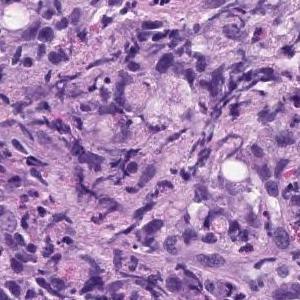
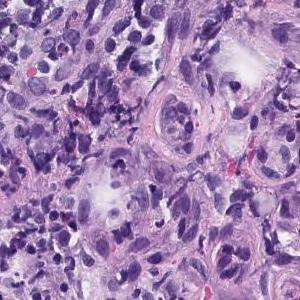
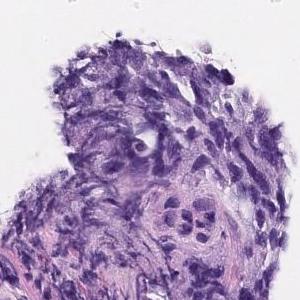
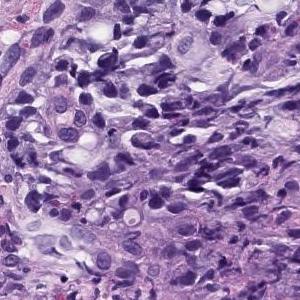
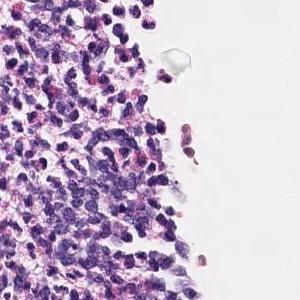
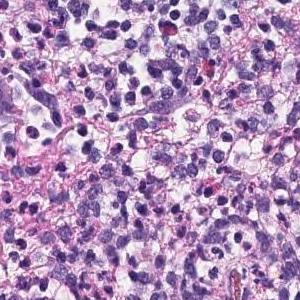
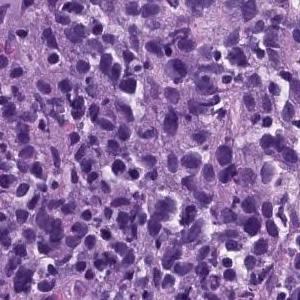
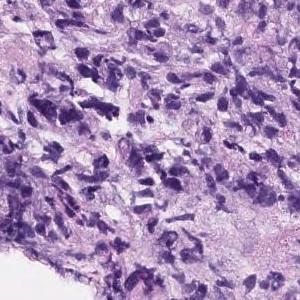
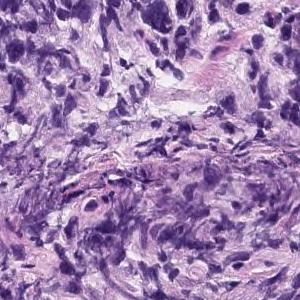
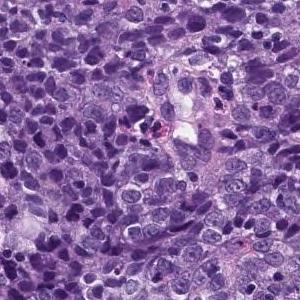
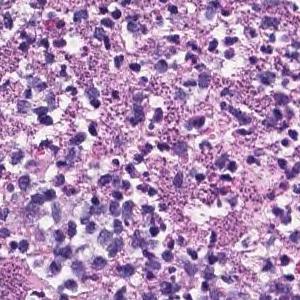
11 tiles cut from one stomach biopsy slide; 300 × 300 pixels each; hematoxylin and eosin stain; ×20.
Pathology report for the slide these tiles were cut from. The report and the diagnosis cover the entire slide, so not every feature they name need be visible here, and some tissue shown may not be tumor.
The superficial epithelium shows a large sheet-like shape, and some tumor tissue infiltrates with small irregular ducts. Poorly differentiated adenocarcinoma, solid-type
Tumor subtype: poorly differentiated adenocarcinoma, solid type. This name comes from the Japanese Classification of Gastric Carcinoma; the WHO 2019 classification calls it tubular adenocarcinoma, poorly differentiated.
